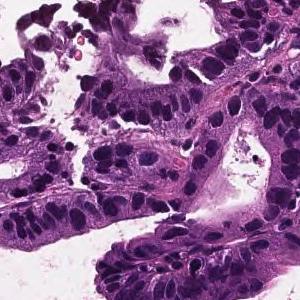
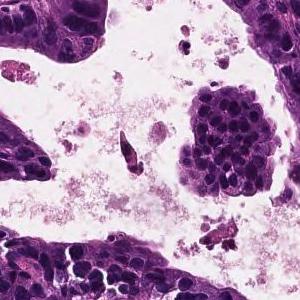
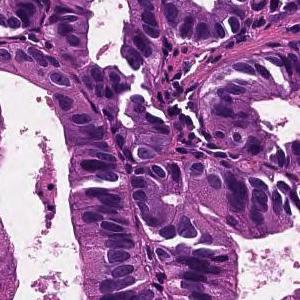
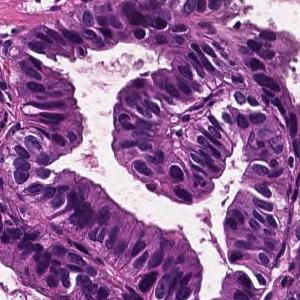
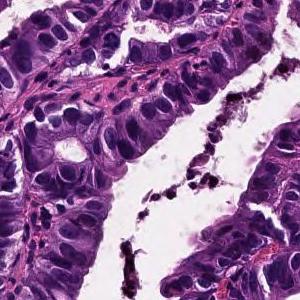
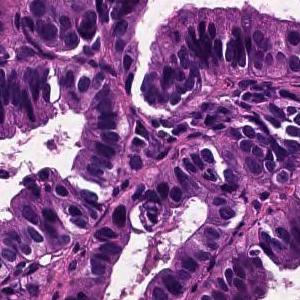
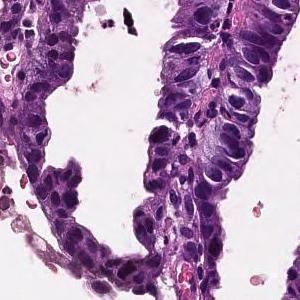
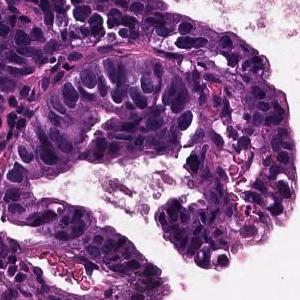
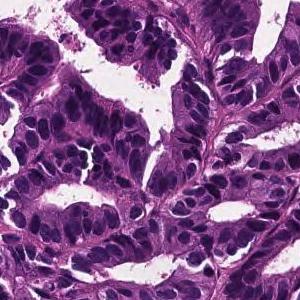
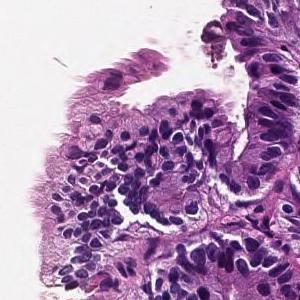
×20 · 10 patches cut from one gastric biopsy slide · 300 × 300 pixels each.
Diagnostic report for the slide these tiles come from. The findings and the diagnosis refer to the entire slide; these tiles show only part of it, possibly with non-tumor tissue, and may not show every feature named.
From the superficial epithelium to the muscularis mucosae, tumor tissue consisting of medium-sized and irregular glandular ducts infiltrating is observed. Well differentiated tubular adenocarcinoma
